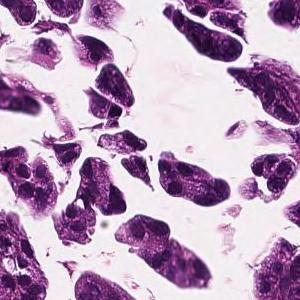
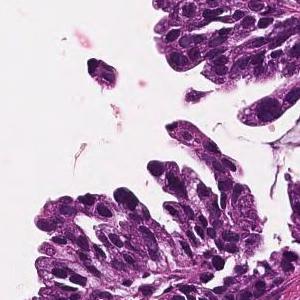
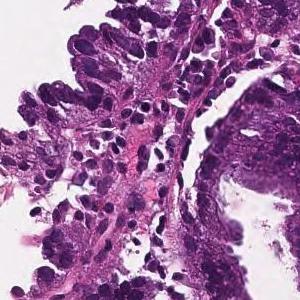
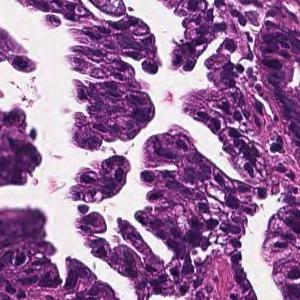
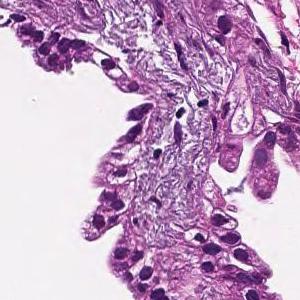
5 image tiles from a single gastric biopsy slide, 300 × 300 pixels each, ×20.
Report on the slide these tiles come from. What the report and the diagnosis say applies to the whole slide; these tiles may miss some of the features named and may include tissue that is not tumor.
Tumor cells are large, highly columnar, large club-shaped nuclei, and are associated with chromatin aggregation. Papillary adenocarcinoma.
